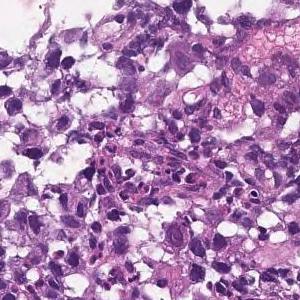
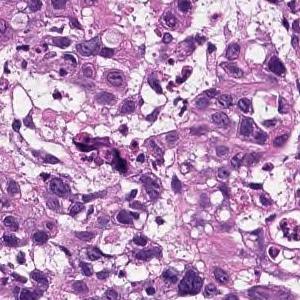
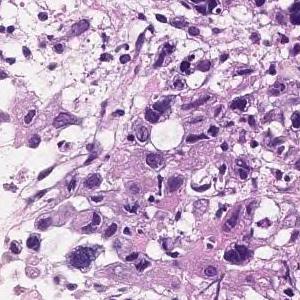
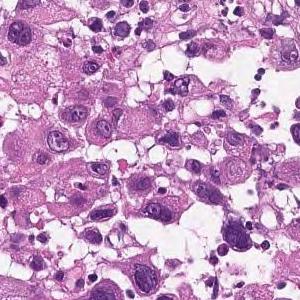
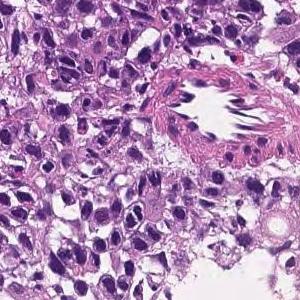
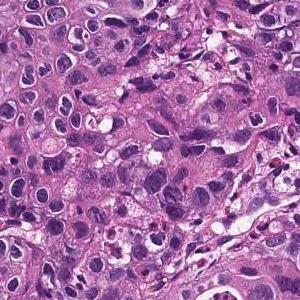
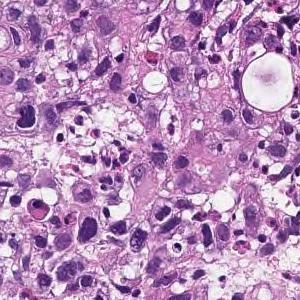
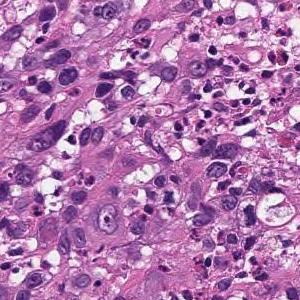
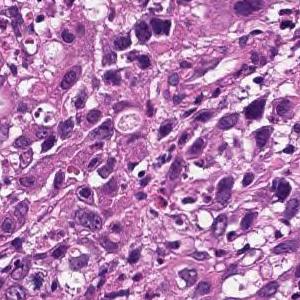
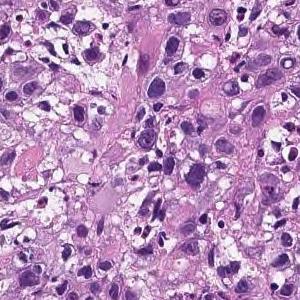
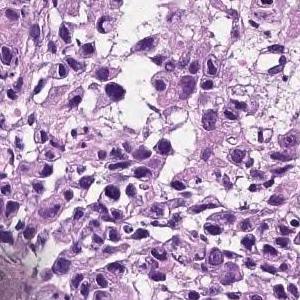
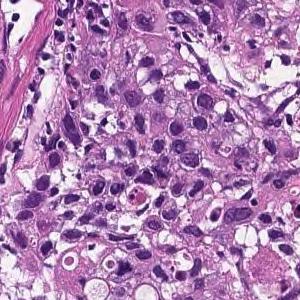
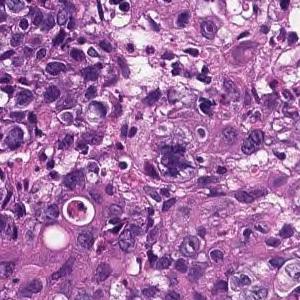
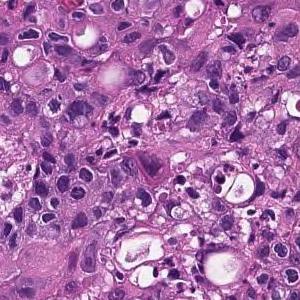
H&E · 20× magnification · 14 tiles from the same stomach biopsy slide · 300 × 300 pixels each.
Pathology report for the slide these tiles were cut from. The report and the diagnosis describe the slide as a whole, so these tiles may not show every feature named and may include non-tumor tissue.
The superficial epithelium shows a large sheet-like shape, and some tumor tissue infiltrates with small irregular ducts. Poorly differentiated adenocarcinoma, solid-type
Histological subtype: Poorly differentiated adenocarcinoma, solid type. This name comes from the Japanese Classification of Gastric Carcinoma; the WHO 2019 classification calls it tubular adenocarcinoma, poorly differentiated.
